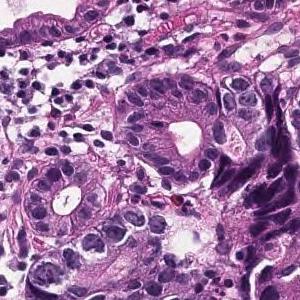
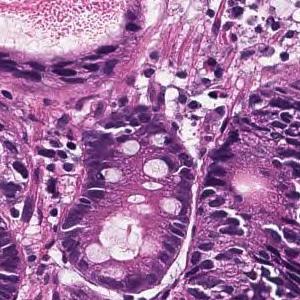
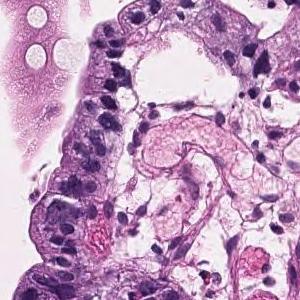
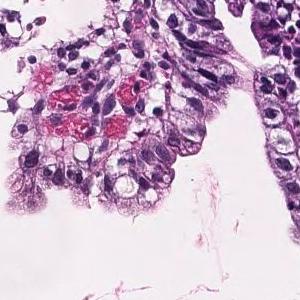
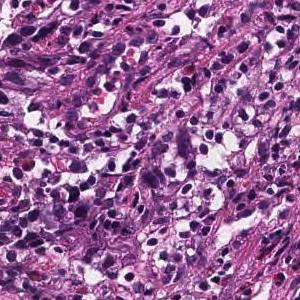
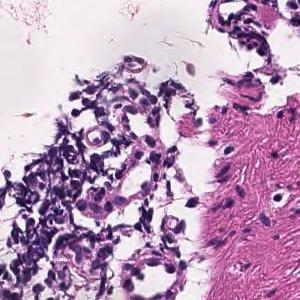
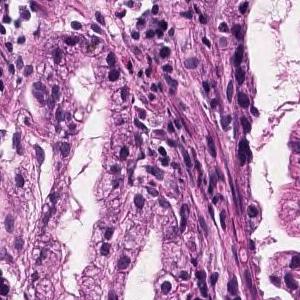
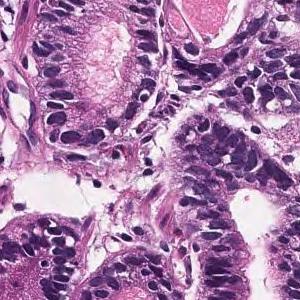
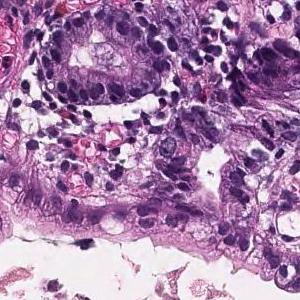
Scanned at ×20 · H&E stain · 9 tiles from the same stomach biopsy slide · each 300 × 300 pixels.
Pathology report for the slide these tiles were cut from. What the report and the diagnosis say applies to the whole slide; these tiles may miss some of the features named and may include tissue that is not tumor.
Tumor tissue consisting of medium-sized and irregular ducts is observed infiltrating in the superficial epithelium. Tumor cells are highly columnar, with nuclei aligned basolaterally and polarized. Well differentiated tubular adenocarcinoma.
